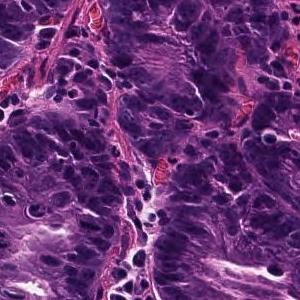
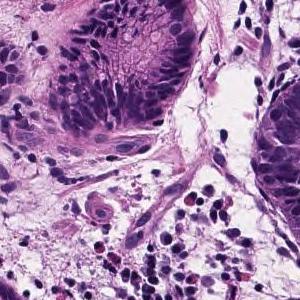
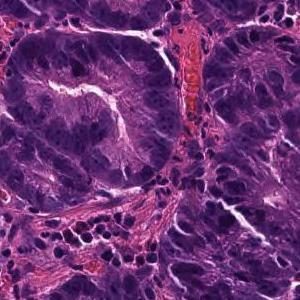
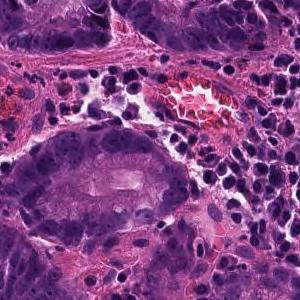
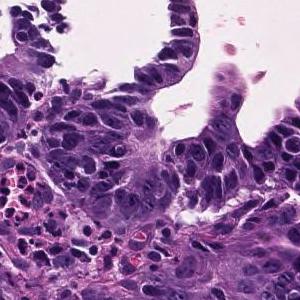
5 image tiles from a single gastric biopsy slide, scanned at ×20.
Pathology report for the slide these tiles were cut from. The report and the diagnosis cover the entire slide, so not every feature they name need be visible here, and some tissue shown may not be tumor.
On the superficial epithelium, tumor tissue consisting of growth of medium-sized to large-sized, round or irregular glandular ducts is observed. Well differentiated tubular adenocarcinoma
